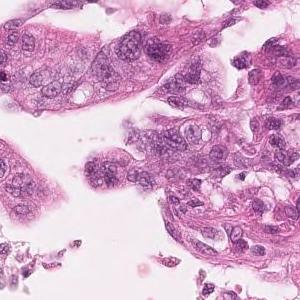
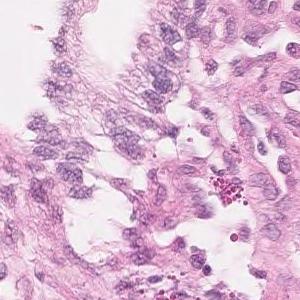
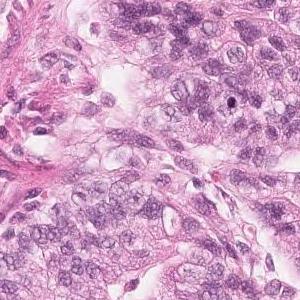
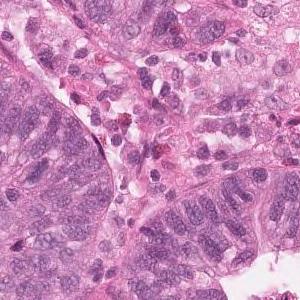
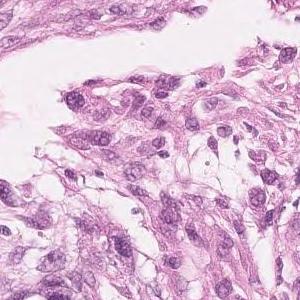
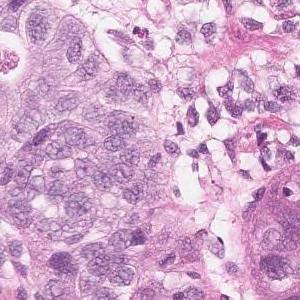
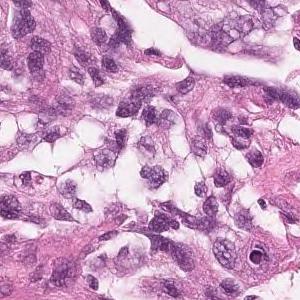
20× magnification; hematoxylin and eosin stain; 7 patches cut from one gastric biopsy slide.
The pathologist's report on the biopsy slide these tiles were taken from. The report and the diagnosis cover the entire slide, so not every feature they name need be visible here, and some tissue shown may not be tumor.
Highly columnar epithelium with disordered nuclear localization proliferates showing fusion ductal construction. moderately differentiated tubular adenocarcinoma
